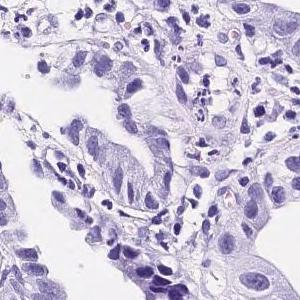
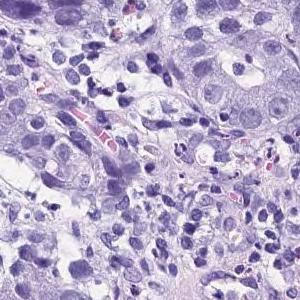
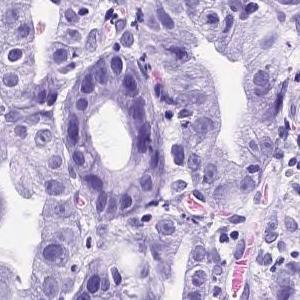
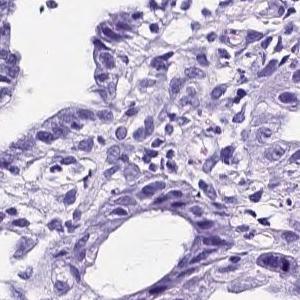
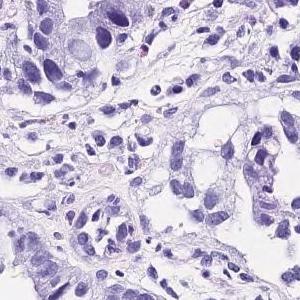
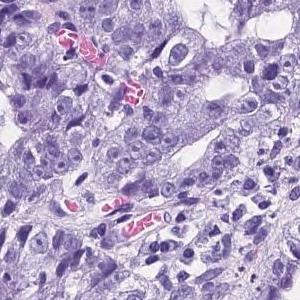
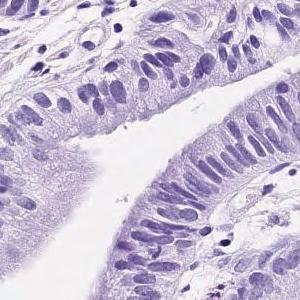
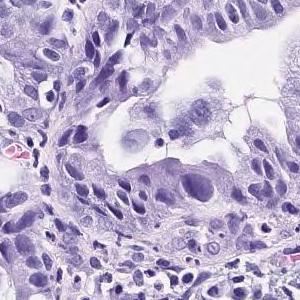
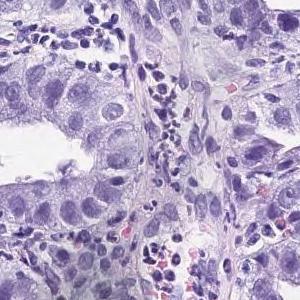
H&E, 9 tiles from the same stomach biopsy slide.
Report on the slide these tiles come from. The report and the diagnosis describe the slide as a whole, so these tiles may not show every feature named and may include non-tumor tissue.
Tumor tissue consisting of medium-sized and irregular ducts is observed infiltrating in the superficial epithelium. Tumor cells are highly columnar, with nuclei aligned basolaterally and polarized. Well differentiated tubular adenocarcinoma.
